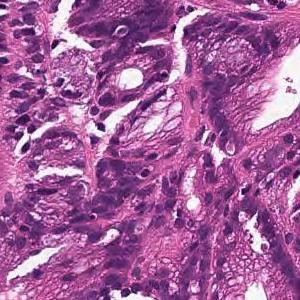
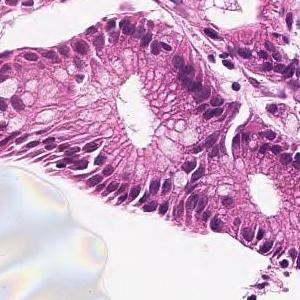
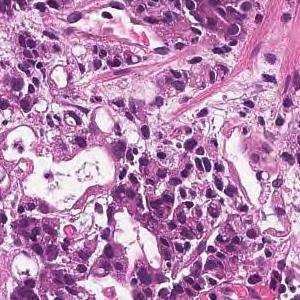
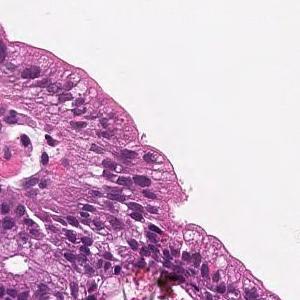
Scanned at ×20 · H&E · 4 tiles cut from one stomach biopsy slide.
Pathology report for the slide these tiles were cut from. What the report and the diagnosis say applies to the whole slide; these tiles may miss some of the features named and may include tissue that is not tumor.
In the superficial epithelium, tumor tissue that invades by forming medium-sized to small, irregular ducts is observed. moderately differentiated tubular adenocarcinoma.
